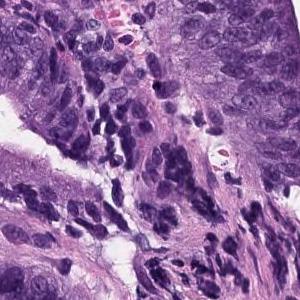
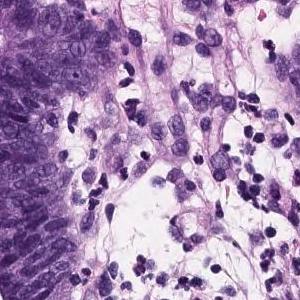
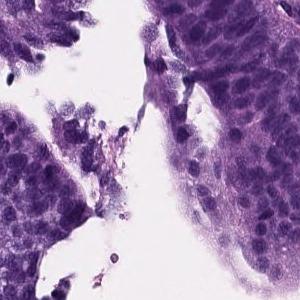
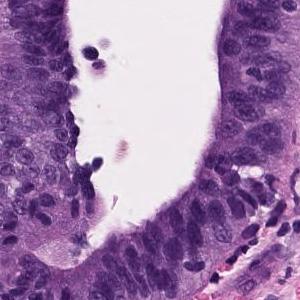
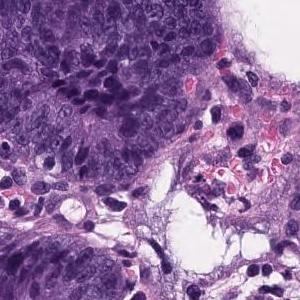
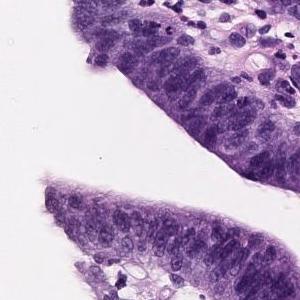
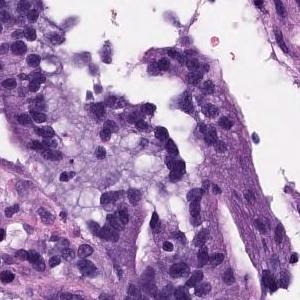
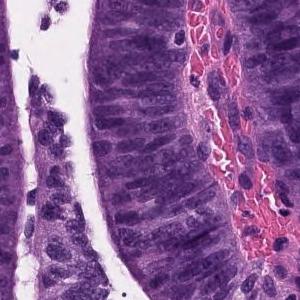
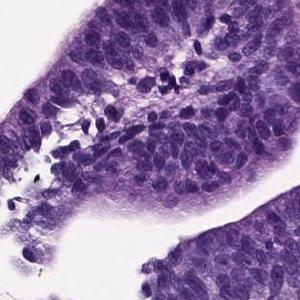
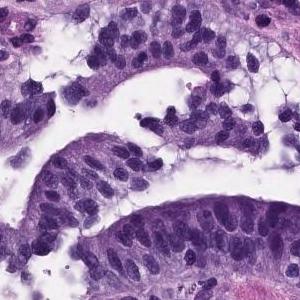
H&E stain; 10 patches cut from one gastric biopsy slide; each 300 × 300 pixels.
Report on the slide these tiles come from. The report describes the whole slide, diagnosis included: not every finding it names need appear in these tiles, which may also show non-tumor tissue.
Papillo-tubular growth of atypical tubules with nuclear swelling is observed. Well differentiated tubular adenocarcinoma
